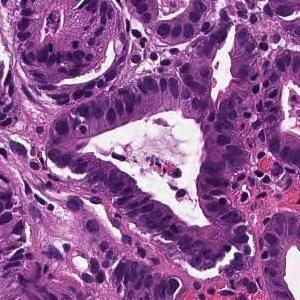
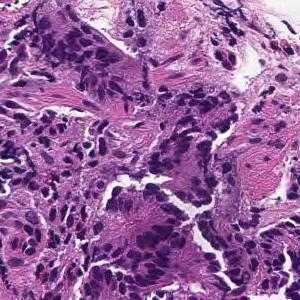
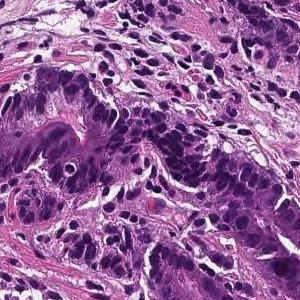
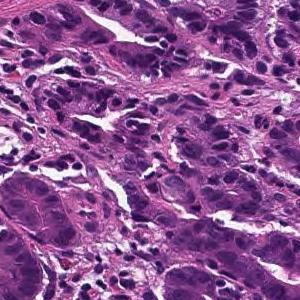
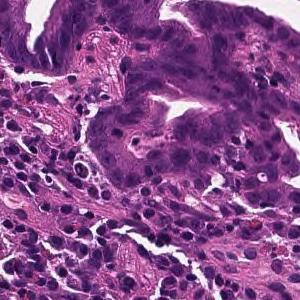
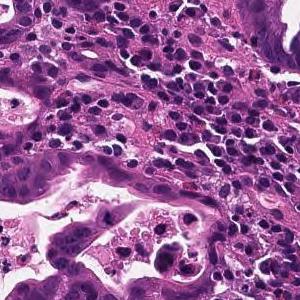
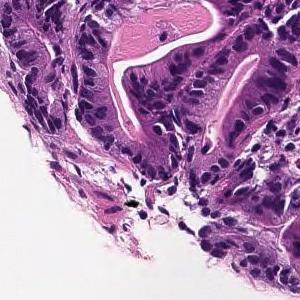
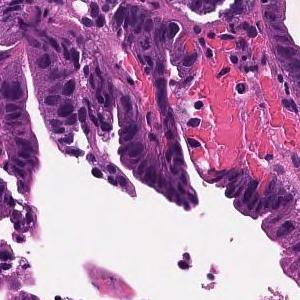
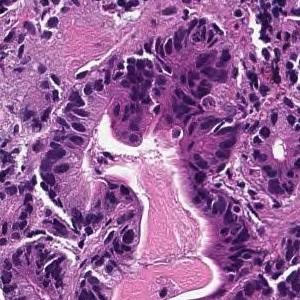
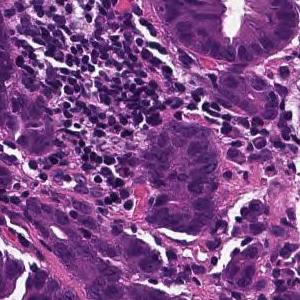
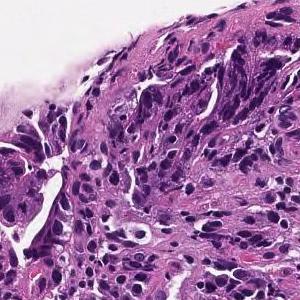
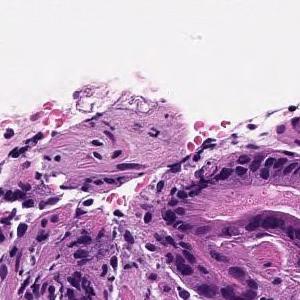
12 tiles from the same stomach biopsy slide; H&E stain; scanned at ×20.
Pathology report for the slide these tiles were cut from. What the report and the diagnosis say applies to the whole slide; these tiles may miss some of the features named and may include tissue that is not tumor.
From the superficial epithelium to the muscularis mucosae, tumor tissue consisting of medium-sized and irregular glandular ducts infiltrating is observed. Well differentiated tubular adenocarcinoma
